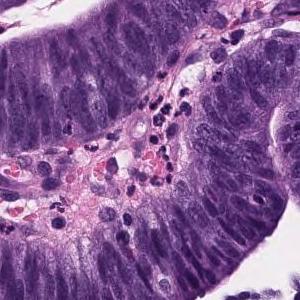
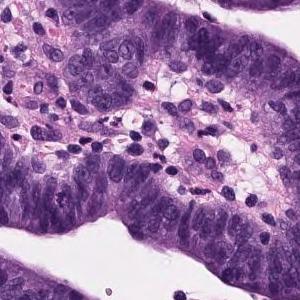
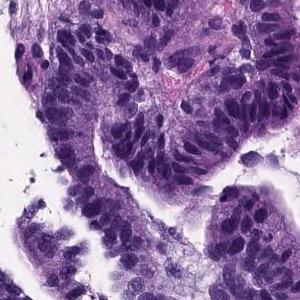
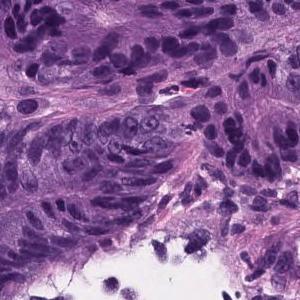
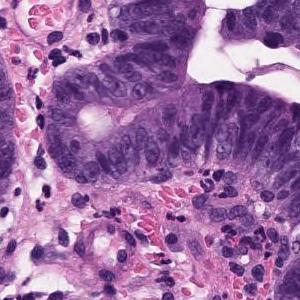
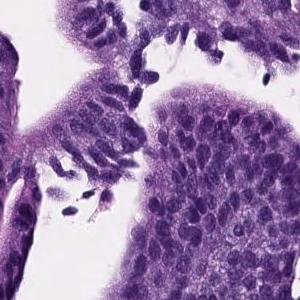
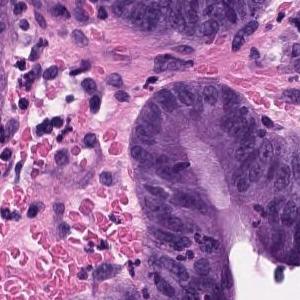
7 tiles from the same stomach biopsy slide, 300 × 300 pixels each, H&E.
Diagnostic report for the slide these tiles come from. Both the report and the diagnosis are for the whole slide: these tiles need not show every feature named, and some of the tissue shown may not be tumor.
Papillo-tubular growth of atypical tubules with nuclear swelling is observed. Well differentiated tubular adenocarcinoma
